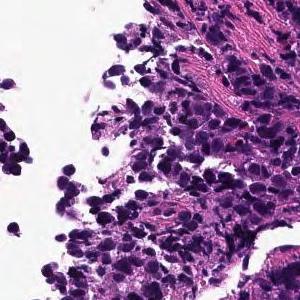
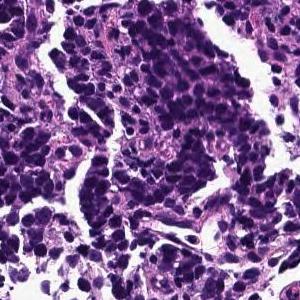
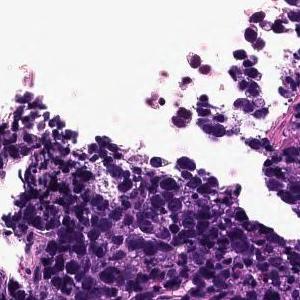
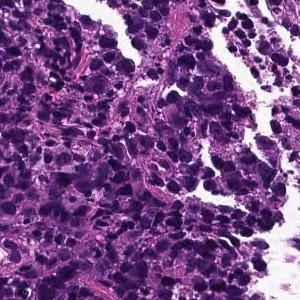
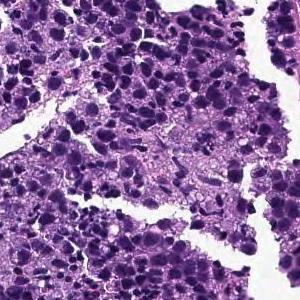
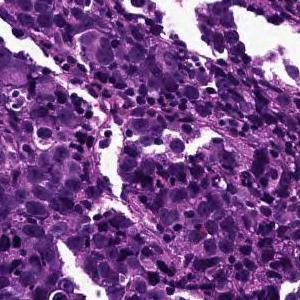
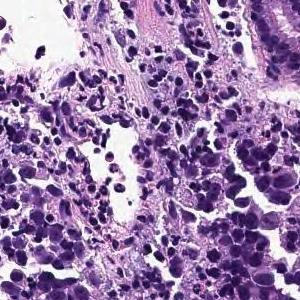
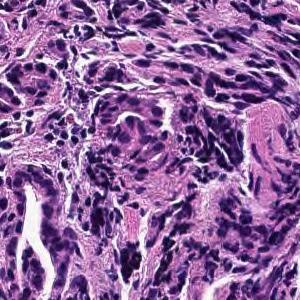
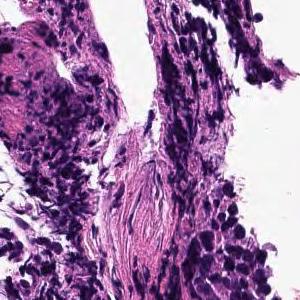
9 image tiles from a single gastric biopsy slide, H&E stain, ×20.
The pathologist's report on the biopsy slide these tiles were taken from. What the report and the diagnosis say applies to the whole slide; these tiles may miss some of the features named and may include tissue that is not tumor.
The superficial epithelium shows large alveolar or sheet-like forms, and some tumor tissue infiltrates with small irregular ducts. Poorly differentiated adenocarcinoma, solid-type
Classified as poorly differentiated adenocarcinoma, solid type, a category of the Japanese Classification of Gastric Carcinoma; in the WHO 2019 classification it is tubular adenocarcinoma, poorly differentiated.
